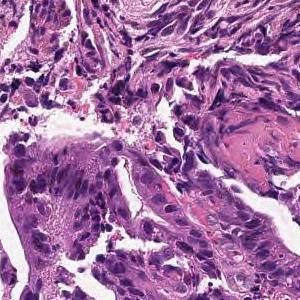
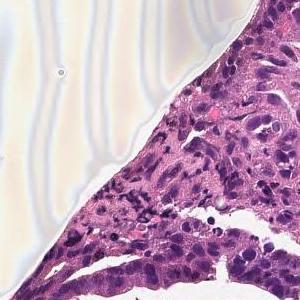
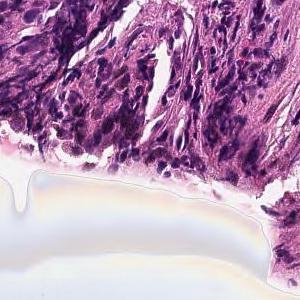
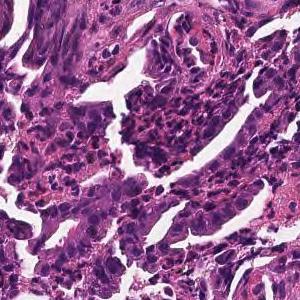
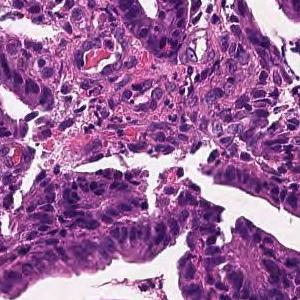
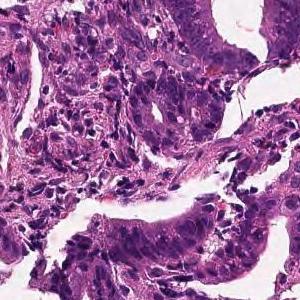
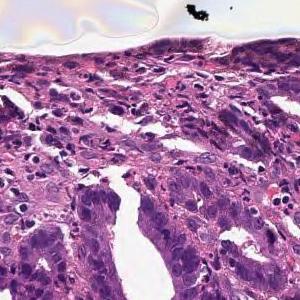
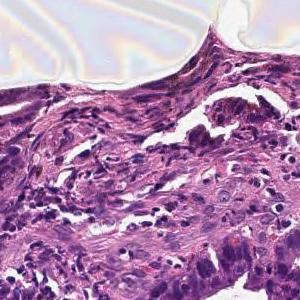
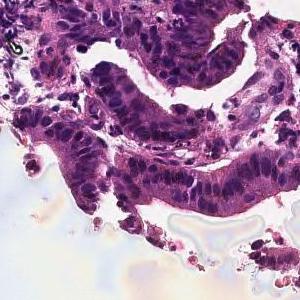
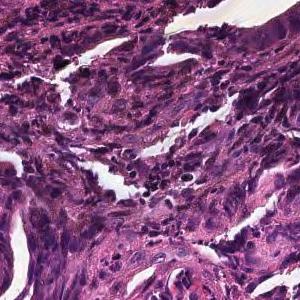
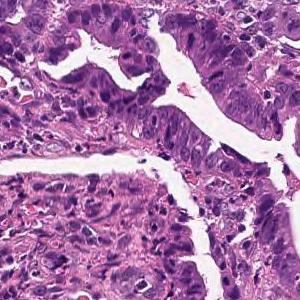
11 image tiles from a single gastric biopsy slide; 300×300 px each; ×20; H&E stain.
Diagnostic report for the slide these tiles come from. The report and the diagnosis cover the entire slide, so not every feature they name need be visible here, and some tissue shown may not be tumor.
From the superficial epithelium to the muscularis mucosae, tumor tissue consisting of medium-sized and irregular glandular ducts infiltrating is observed. Well differentiated tubular adenocarcinoma
